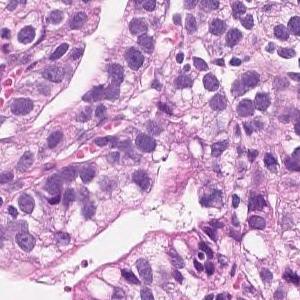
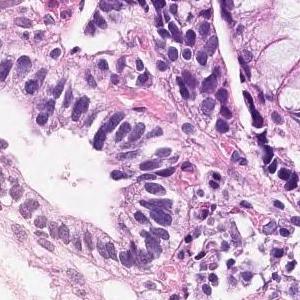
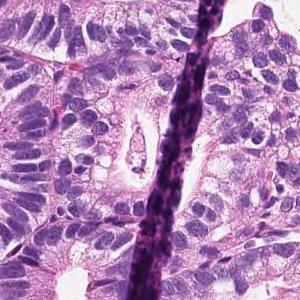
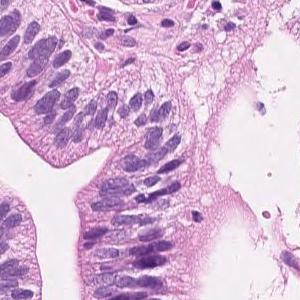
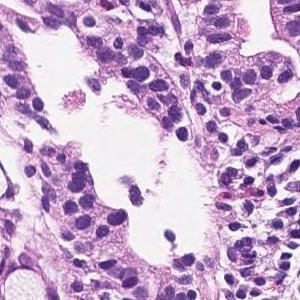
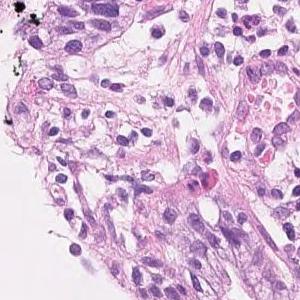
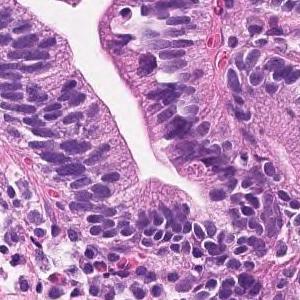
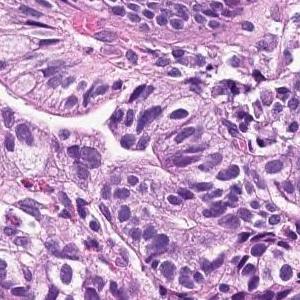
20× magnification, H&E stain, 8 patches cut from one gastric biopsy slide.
Pathology report for the biopsy slide these tiles were cut from. The report and the diagnosis describe the slide as a whole, so these tiles may not show every feature named and may include non-tumor tissue.
On the superficial epithelium, there is a tumor tissue consisting of medium to small, irregular tubules that are partially fused and proliferated. Well to moderately differentiated tubular adenocarcinoma
